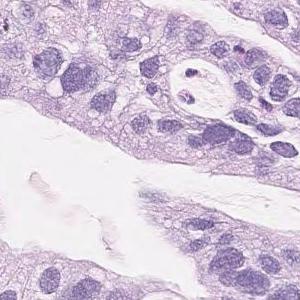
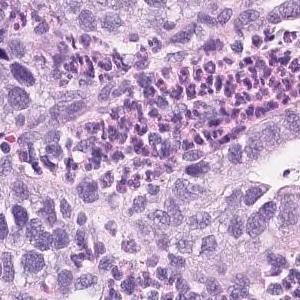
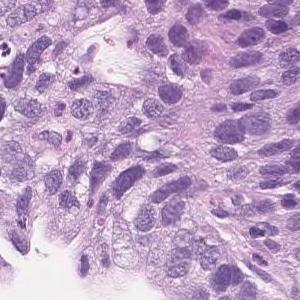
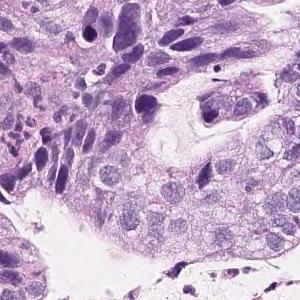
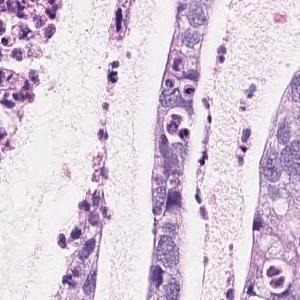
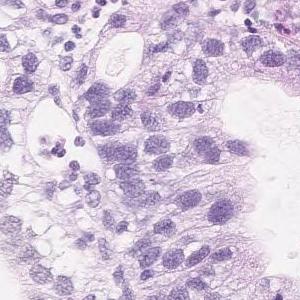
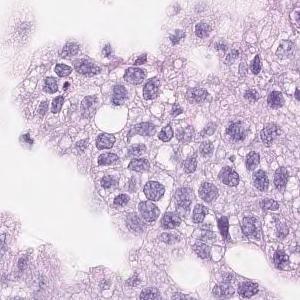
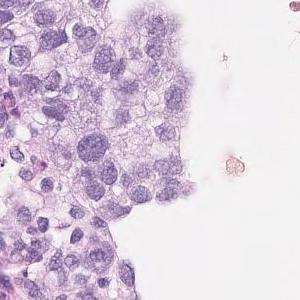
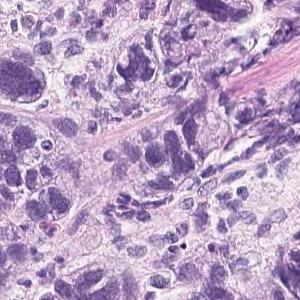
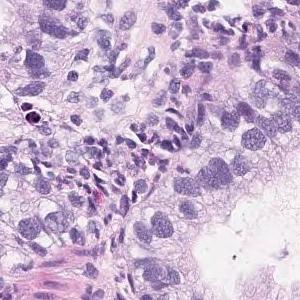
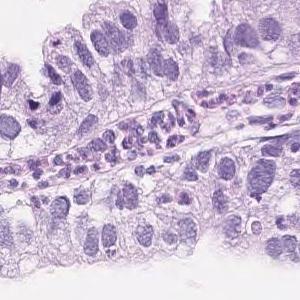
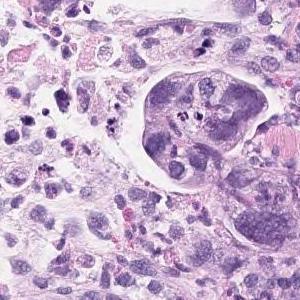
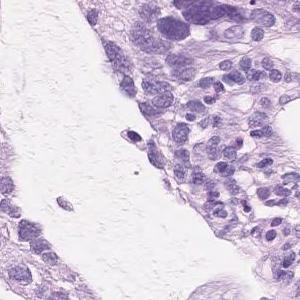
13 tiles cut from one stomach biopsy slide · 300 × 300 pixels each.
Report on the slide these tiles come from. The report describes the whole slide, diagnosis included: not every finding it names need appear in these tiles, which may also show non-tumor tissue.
On the superficial epithelium, tumor tissue consisting of large, irregular glandular ducts partially fused and infiltrated is observed. Well to moderately differentiated tubular adenocarcinoma (well differentiated tubular adenocarcinoma, moderately differentiated tubular adenocarcinoma)
Histologic type: Well to moderately differentiated tubular adenocarcinoma.
